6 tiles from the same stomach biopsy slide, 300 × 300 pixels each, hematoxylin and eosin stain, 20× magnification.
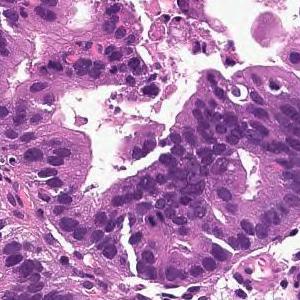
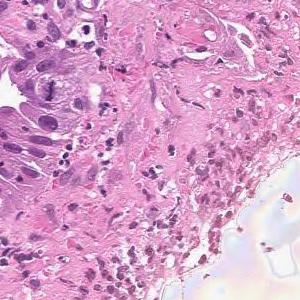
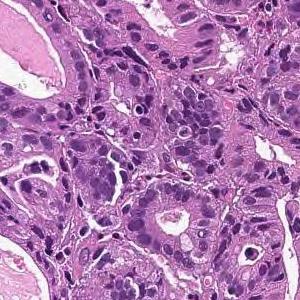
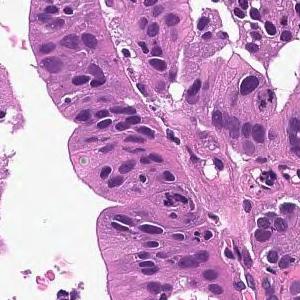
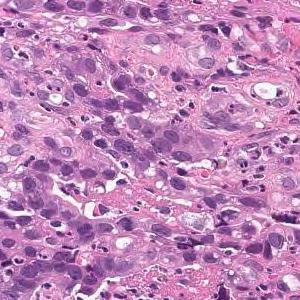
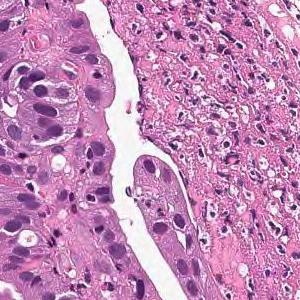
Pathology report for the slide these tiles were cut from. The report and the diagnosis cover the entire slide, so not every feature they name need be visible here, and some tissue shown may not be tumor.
From the superficial epithelium to the muscularis mucosae, tumor tissue consisting of medium-sized and irregular glandular ducts infiltrating is observed. Well differentiated tubular adenocarcinoma
